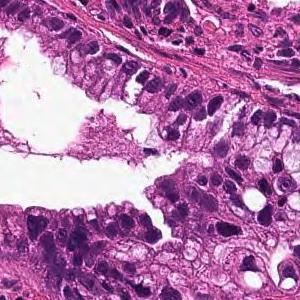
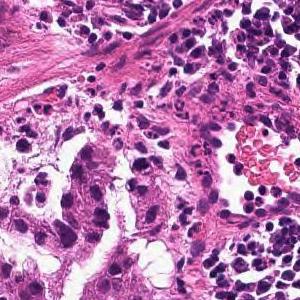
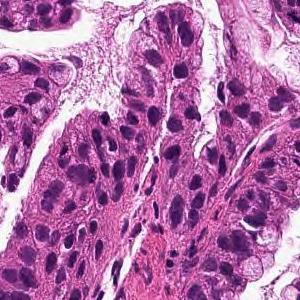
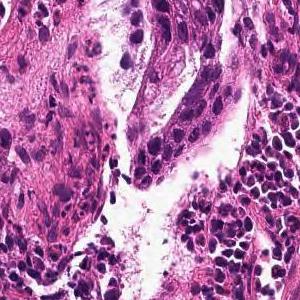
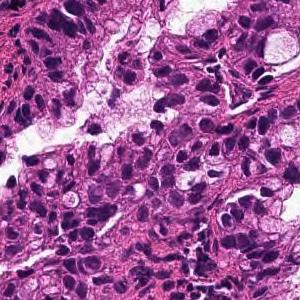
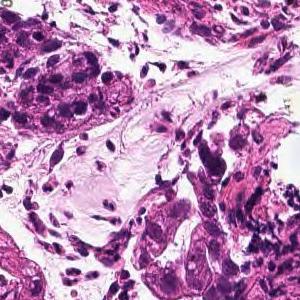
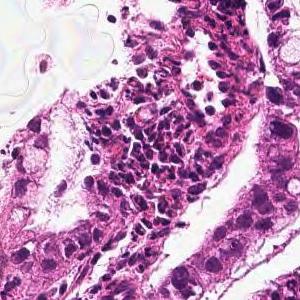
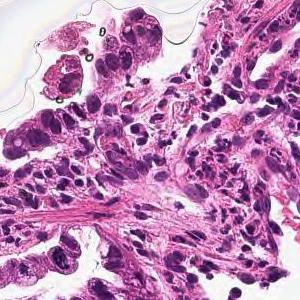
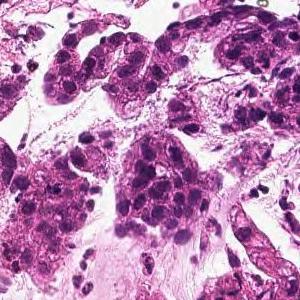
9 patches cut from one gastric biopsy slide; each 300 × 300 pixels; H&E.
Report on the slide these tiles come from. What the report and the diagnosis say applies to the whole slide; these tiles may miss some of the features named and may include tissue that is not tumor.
From the superficial epithelium to the muscularis mucosae, tumor tissue infiltrating by forming medium-sized irregular gland ducts is observed. Well differentiated tubular adenocarcinoma
